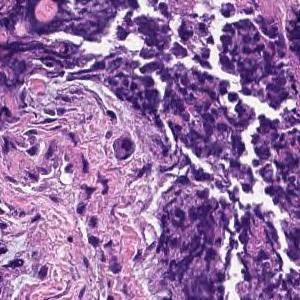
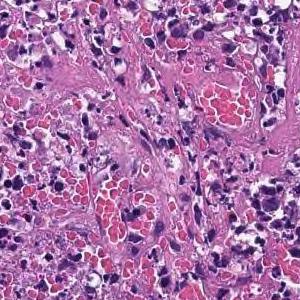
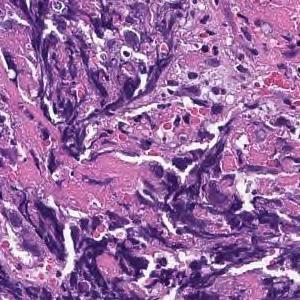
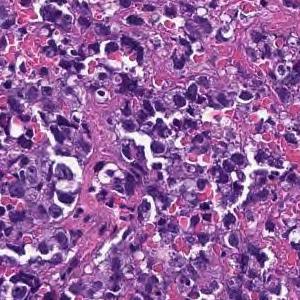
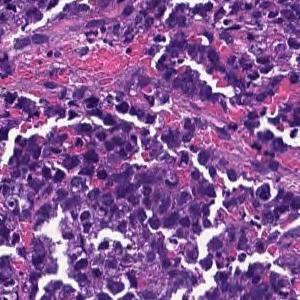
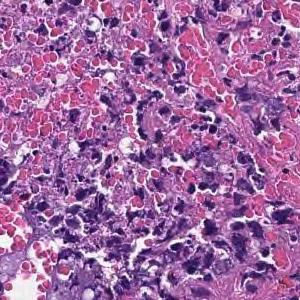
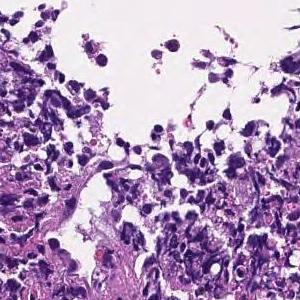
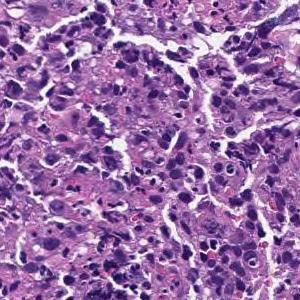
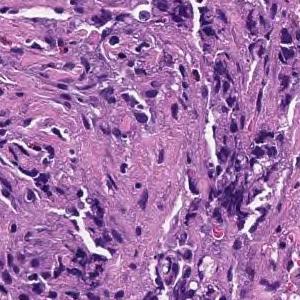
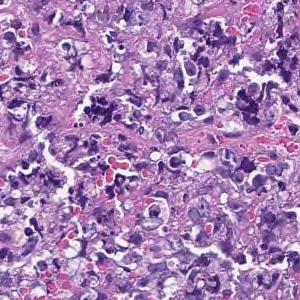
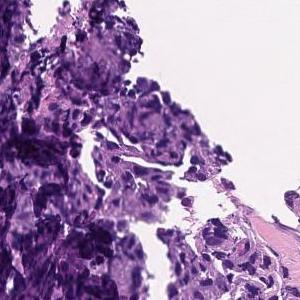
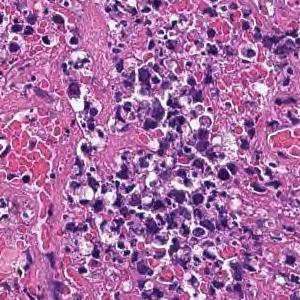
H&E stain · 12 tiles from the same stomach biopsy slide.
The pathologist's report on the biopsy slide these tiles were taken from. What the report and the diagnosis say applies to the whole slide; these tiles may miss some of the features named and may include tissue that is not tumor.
Most are composed of coagulative necrotic tissue, but some show a large sheet-like shape, and some show tumor tissue infiltrating with a small cord-like structure. Poorly differentiated adenocarcinoma, solid-type
Tumor subtype: poorly differentiated adenocarcinoma, solid type. This name comes from the Japanese Classification of Gastric Carcinoma; the WHO 2019 classification calls it tubular adenocarcinoma, poorly differentiated.
